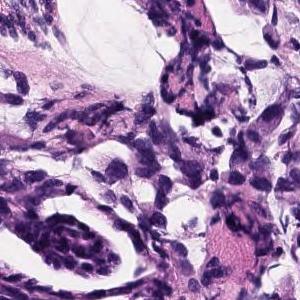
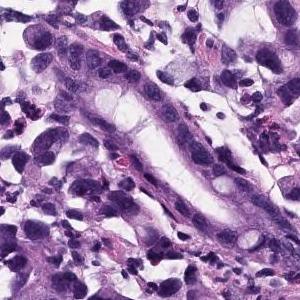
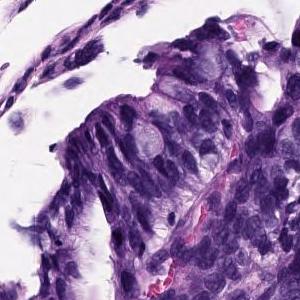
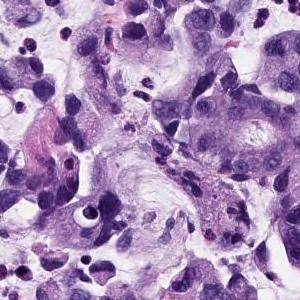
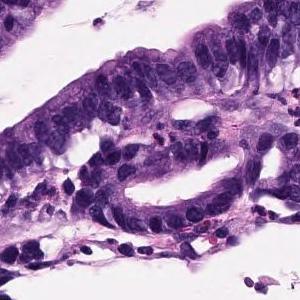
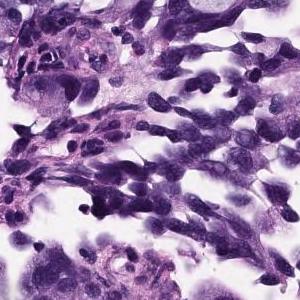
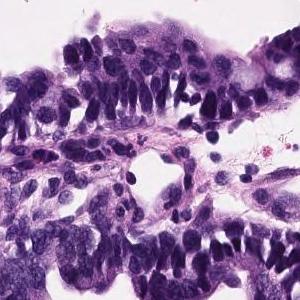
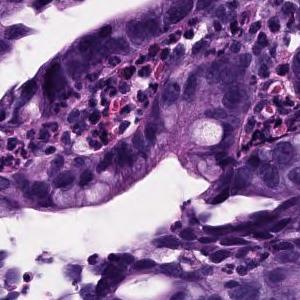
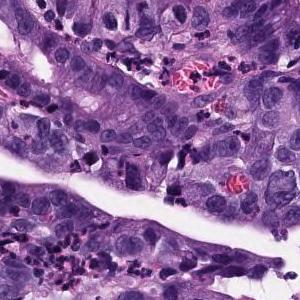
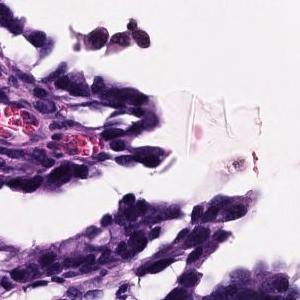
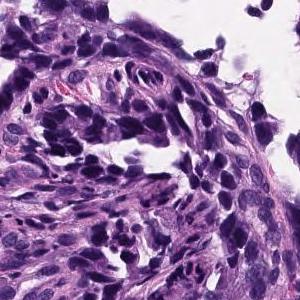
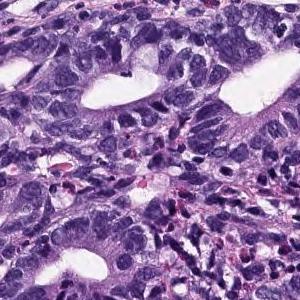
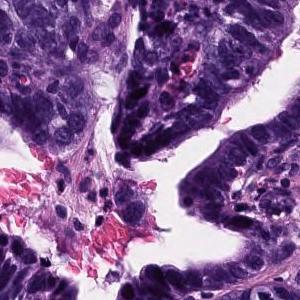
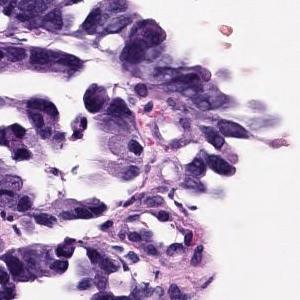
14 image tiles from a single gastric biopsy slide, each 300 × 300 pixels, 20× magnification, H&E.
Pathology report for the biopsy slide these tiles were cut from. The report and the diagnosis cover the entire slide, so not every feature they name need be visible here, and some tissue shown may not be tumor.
Atypical epithelium proliferating showing villus construction and irregular gland duct construction is observed. Moderately differentiated tubular adenocarcinoma.
